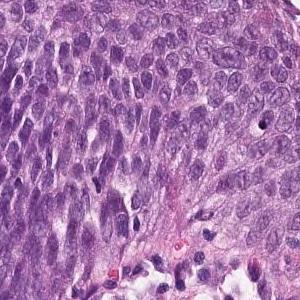
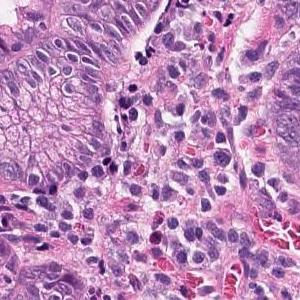
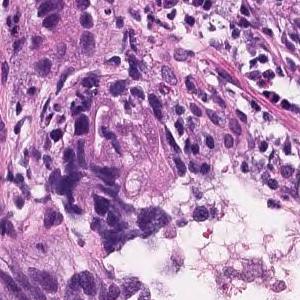
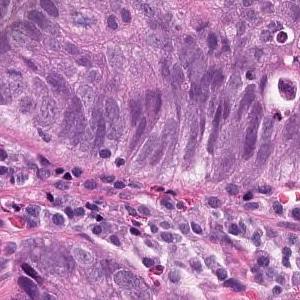
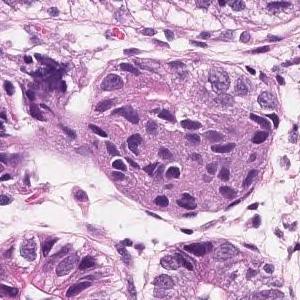
5 tiles cut from one stomach biopsy slide.
The pathologist's report on the biopsy slide these tiles were taken from. Both the report and the diagnosis are for the whole slide: these tiles need not show every feature named, and some of the tissue shown may not be tumor.
Tumor cells are large, highly columnar, large club-shaped nuclei, and are associated with chromatin aggregation. Papillary adenocarcinoma.
